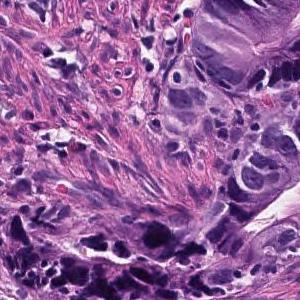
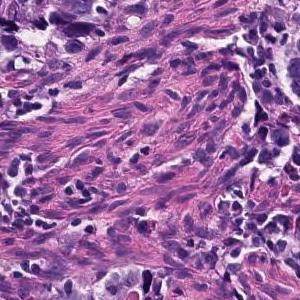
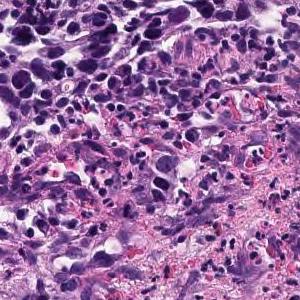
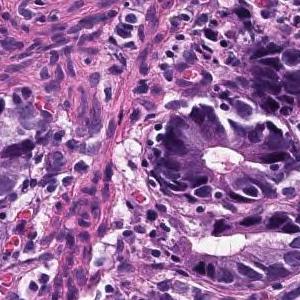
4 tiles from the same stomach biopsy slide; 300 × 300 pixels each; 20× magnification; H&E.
Diagnostic report for the slide these tiles come from. The report and the diagnosis cover the entire slide, so not every feature they name need be visible here, and some tissue shown may not be tumor.
In the superficial epithelium, tumor tissue that invades by forming medium-sized to small, irregular ducts is observed. Tumor cells are columnar or cuboidal in shape. Moderately differentiated adenocarcinoma.
Classified as moderately differentiated tubular adenocarcinoma.
